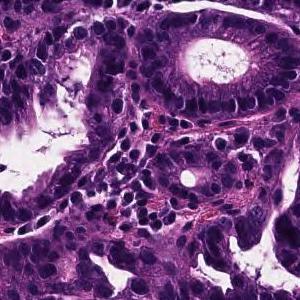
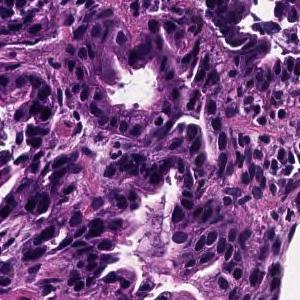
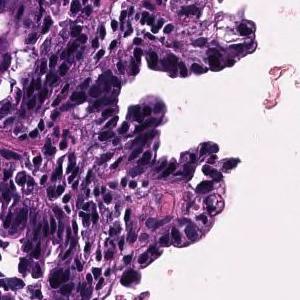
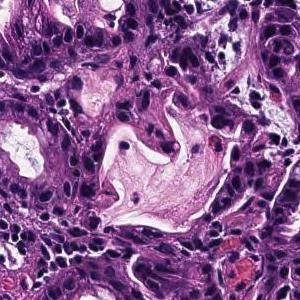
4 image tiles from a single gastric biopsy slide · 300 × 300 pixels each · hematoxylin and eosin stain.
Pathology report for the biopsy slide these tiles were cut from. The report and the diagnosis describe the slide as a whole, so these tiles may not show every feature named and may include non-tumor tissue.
On the superficial epithelium, tumor tissue consisting of proliferative images of medium-sized to small-sized round or irregular glandular ducts is observed. Well differentiated tubular adenocarcinoma
